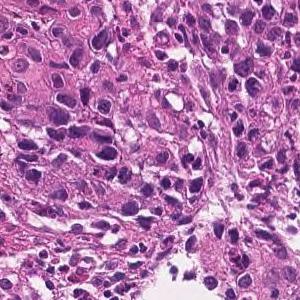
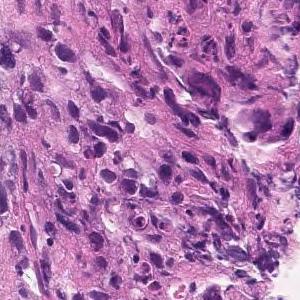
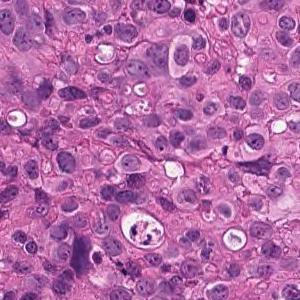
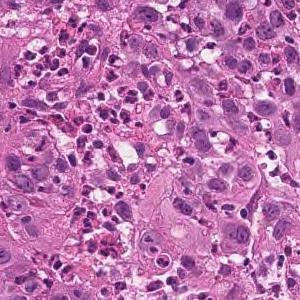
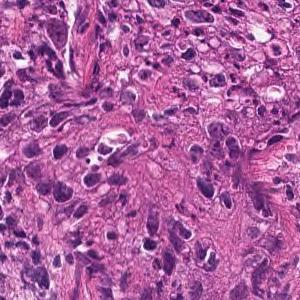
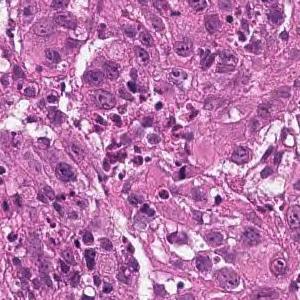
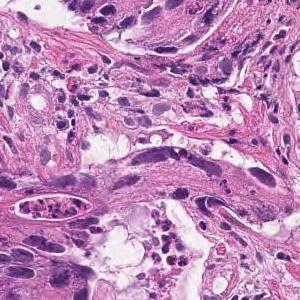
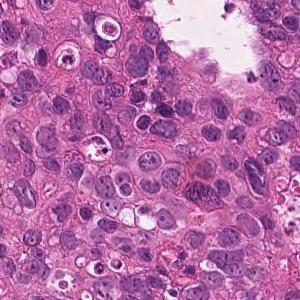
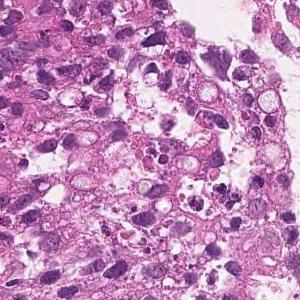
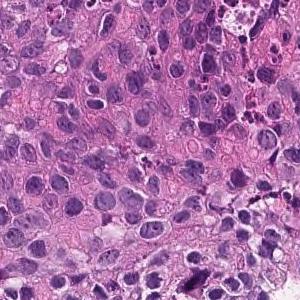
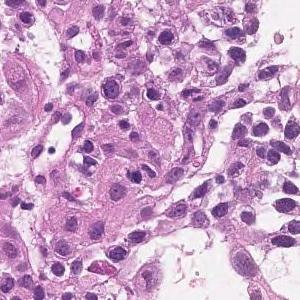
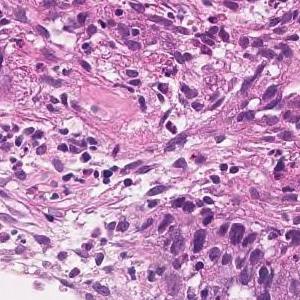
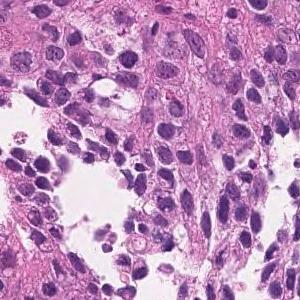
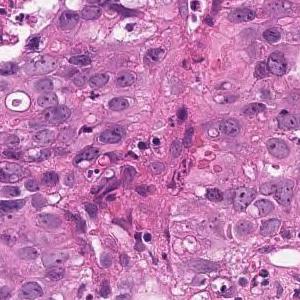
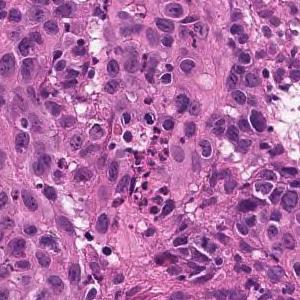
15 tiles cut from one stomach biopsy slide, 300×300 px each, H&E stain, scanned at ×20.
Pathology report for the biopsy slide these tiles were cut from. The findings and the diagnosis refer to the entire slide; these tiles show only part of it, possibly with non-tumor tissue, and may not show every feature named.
The superficial epithelium shows a large sheet-like shape, and some tumor tissue infiltrates with small irregular ducts. Poorly differentiated adenocarcinoma, solid-type
Histological subtype: Poorly differentiated adenocarcinoma, solid type. This name comes from the Japanese Classification of Gastric Carcinoma; the WHO 2019 classification calls it tubular adenocarcinoma, poorly differentiated.
